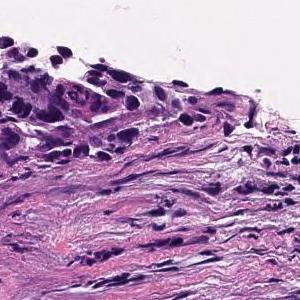
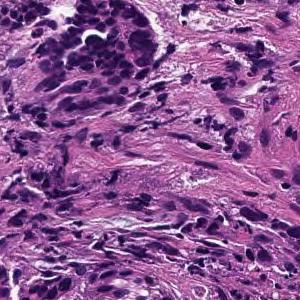
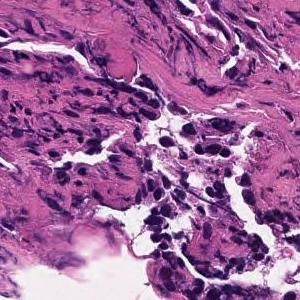
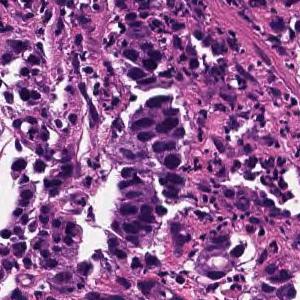
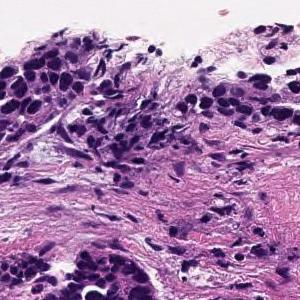
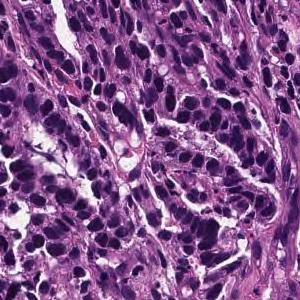
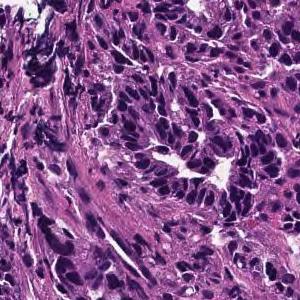
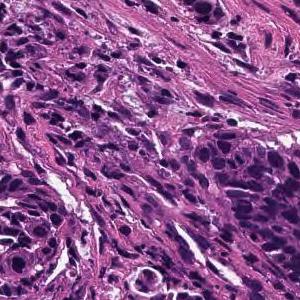
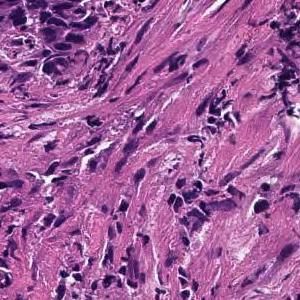
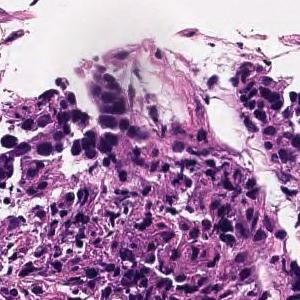
10 image tiles from a single gastric biopsy slide; each 300 × 300 pixels; H&E stain; ×20.
The pathologist's report on the biopsy slide these tiles were taken from. The report and the diagnosis describe the slide as a whole, so these tiles may not show every feature named and may include non-tumor tissue.
In the superficial epithelium, tumor tissue that invades by forming medium-sized to small, irregular ducts is observed. moderately differentiated tubular adenocarcinoma.
